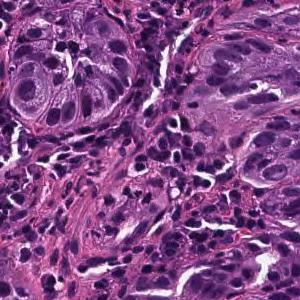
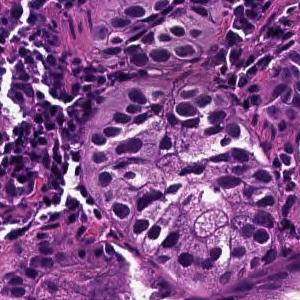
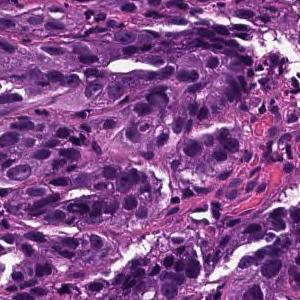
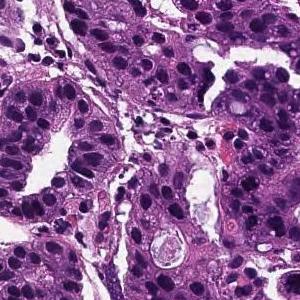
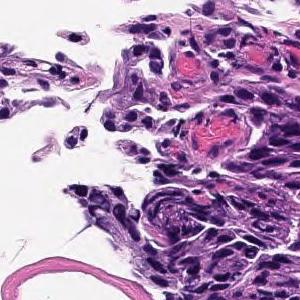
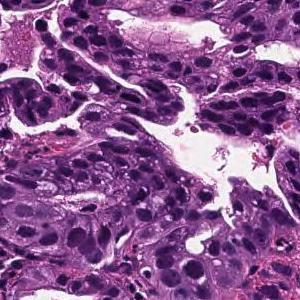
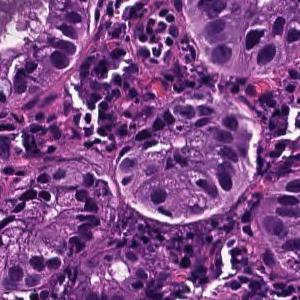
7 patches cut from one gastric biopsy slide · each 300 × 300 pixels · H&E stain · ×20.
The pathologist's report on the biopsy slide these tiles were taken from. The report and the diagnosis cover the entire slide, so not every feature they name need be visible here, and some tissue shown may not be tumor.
In the superficial epithelium, tumor tissue that invades by forming medium-sized to small, irregular ducts is observed. moderately differentiated tubular adenocarcinoma.
